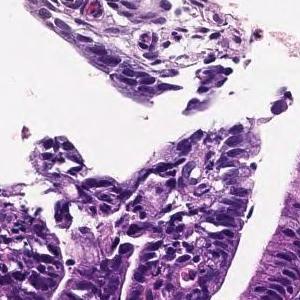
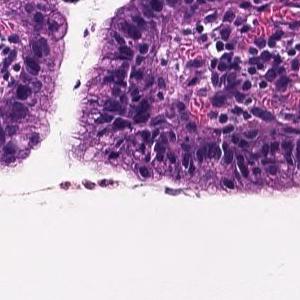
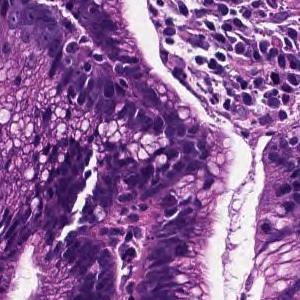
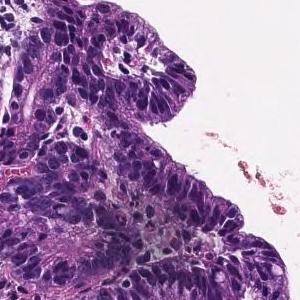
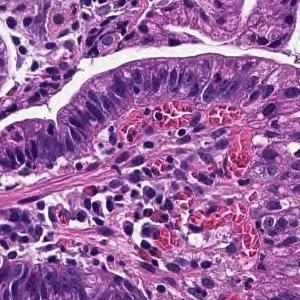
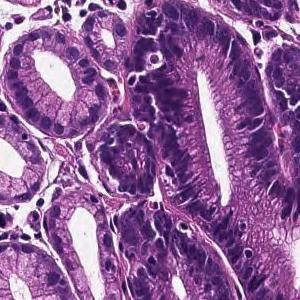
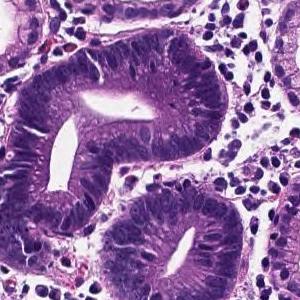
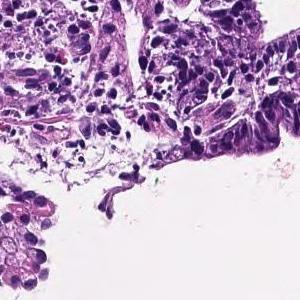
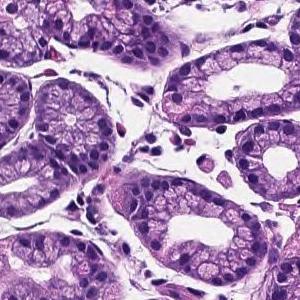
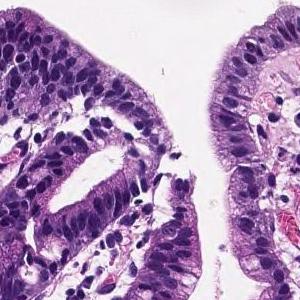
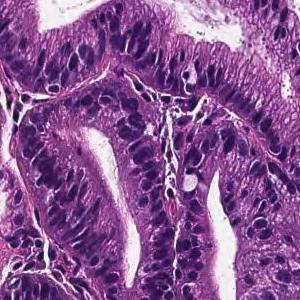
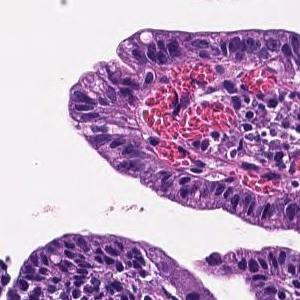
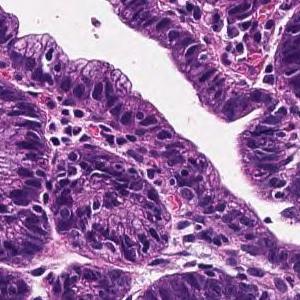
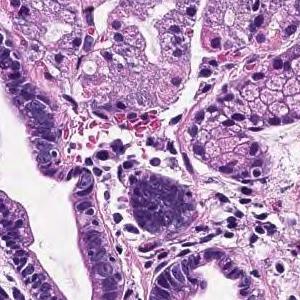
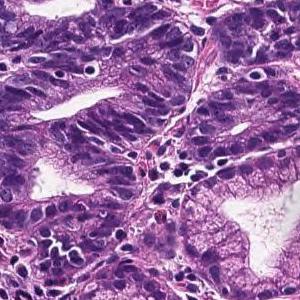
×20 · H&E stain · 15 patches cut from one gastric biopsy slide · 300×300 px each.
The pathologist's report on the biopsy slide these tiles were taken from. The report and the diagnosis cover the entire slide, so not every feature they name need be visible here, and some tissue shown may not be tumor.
From the superficial epithelium to the muscularis mucosae, tumor tissue consisting of medium-sized and irregular glandular ducts infiltrating is observed. Well differentiated tubular adenocarcinoma
